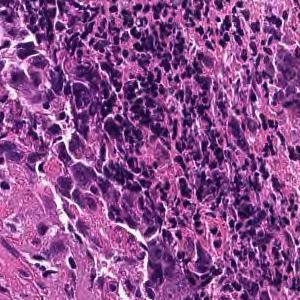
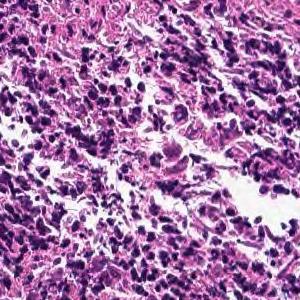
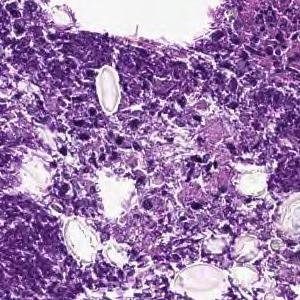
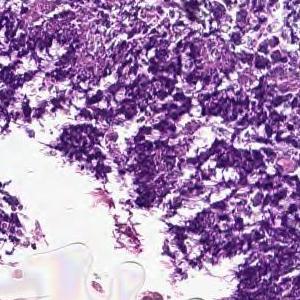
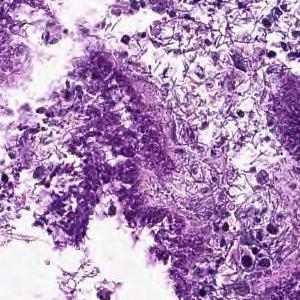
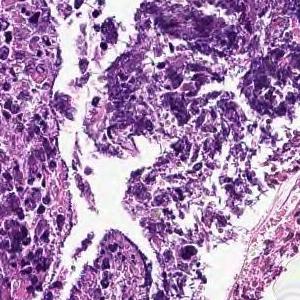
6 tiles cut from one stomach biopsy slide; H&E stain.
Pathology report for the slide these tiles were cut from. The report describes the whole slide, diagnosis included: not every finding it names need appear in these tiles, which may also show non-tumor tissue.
Cancers with polygonal nuclei do not show glandular formation and are densely, in part, cord-like and proliferate. Poorly differentiated adenocarcinoma
Subtype: Poorly differentiated adenocarcinoma, non-solid type.
"Non-solid type" is a category of the Japanese Classification of Gastric Carcinoma.
